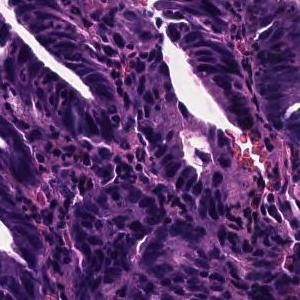
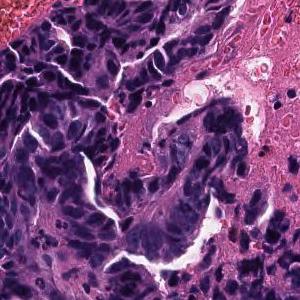
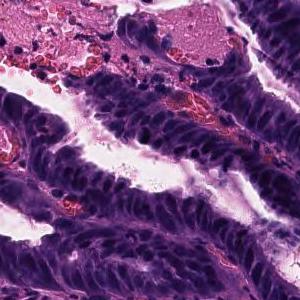
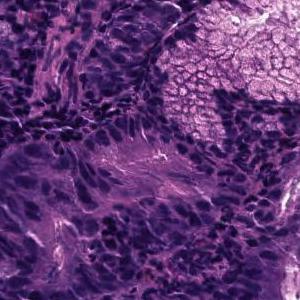
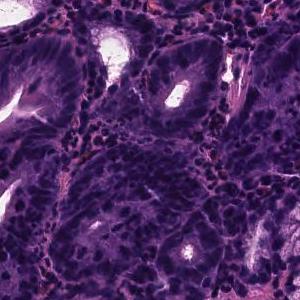
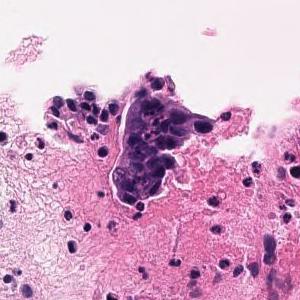
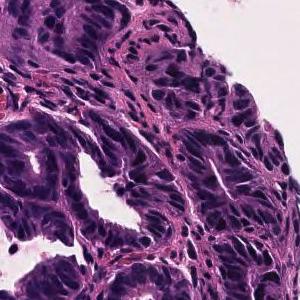
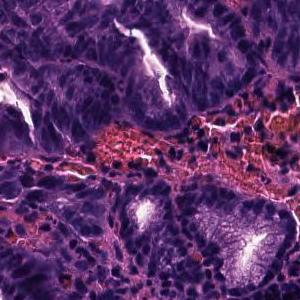
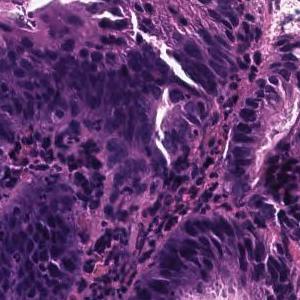
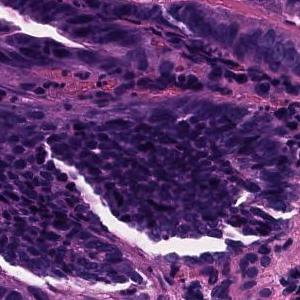
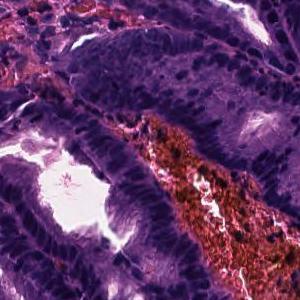
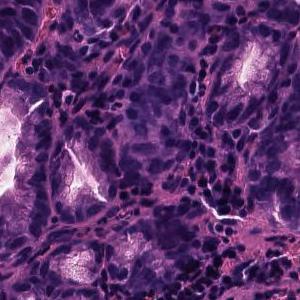
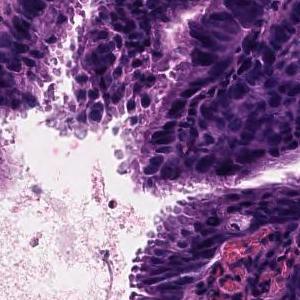
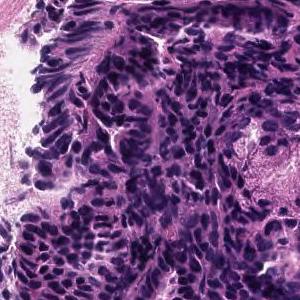
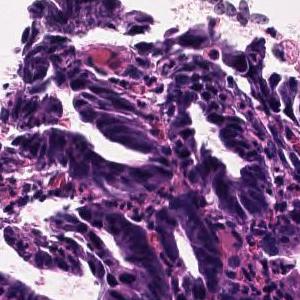
15 image tiles from a single gastric biopsy slide, H&E stain.
The pathologist's report on the biopsy slide these tiles were taken from. The report and the diagnosis cover the entire slide, so not every feature they name need be visible here, and some tissue shown may not be tumor.
Tumor tissue in which highly columnar atypical epithelial cells with marked nuclear swelling and increased nuclear chromatin form small to medium-sized irregular ducts or papillary structures is observed. Well differentiated tubular adenocarcinoma
